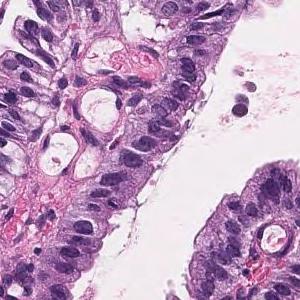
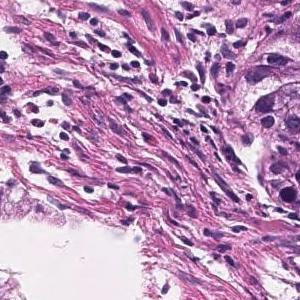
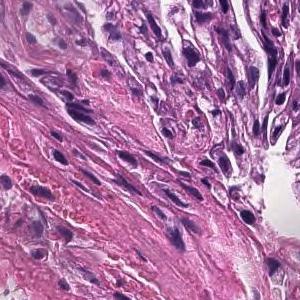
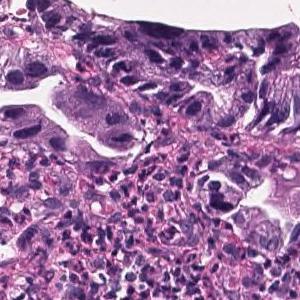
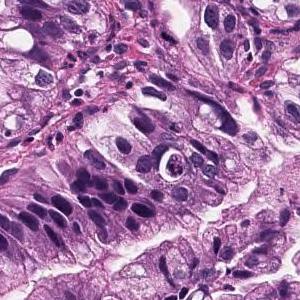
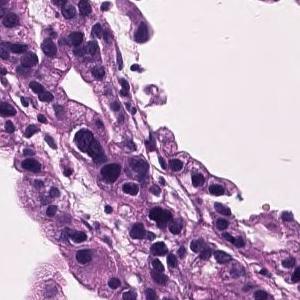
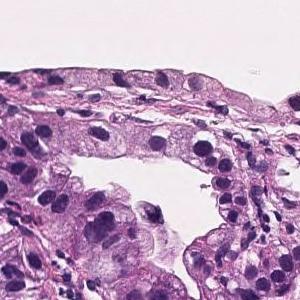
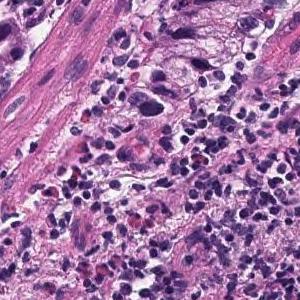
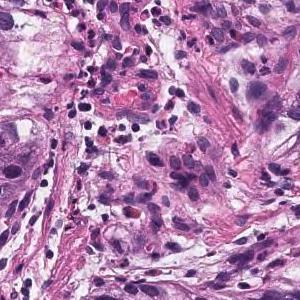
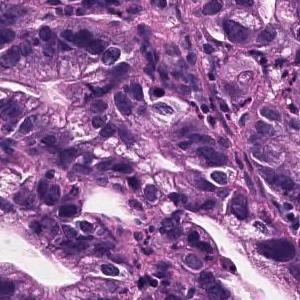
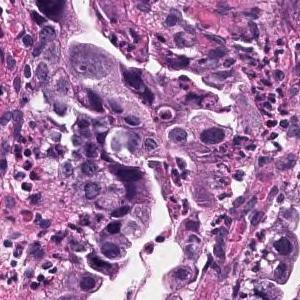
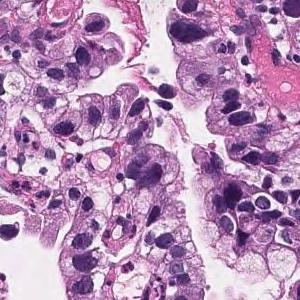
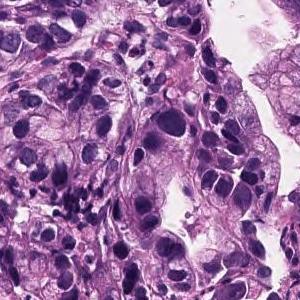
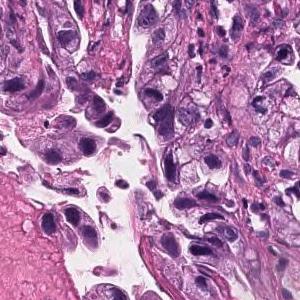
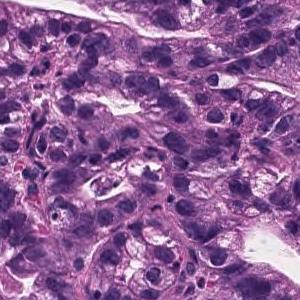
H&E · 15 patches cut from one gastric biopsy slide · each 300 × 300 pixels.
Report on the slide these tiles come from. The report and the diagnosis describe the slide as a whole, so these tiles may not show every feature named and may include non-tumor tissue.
Tumor cells are large, highly columnar, large club-shaped nuclei, and are associated with chromatin aggregation. Papillary adenocarcinoma.
